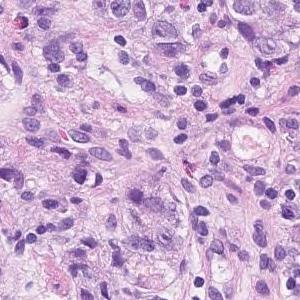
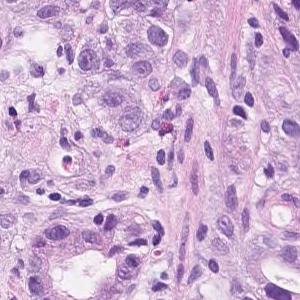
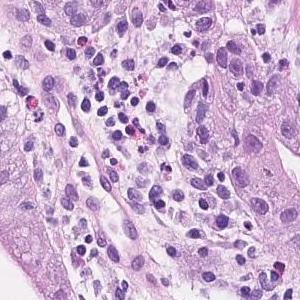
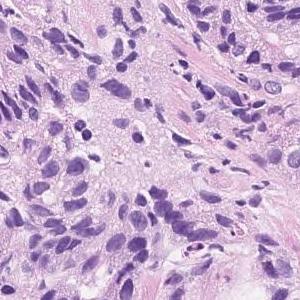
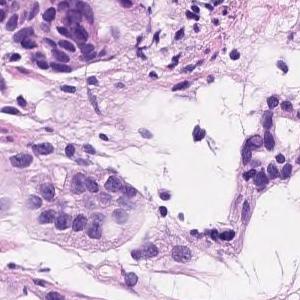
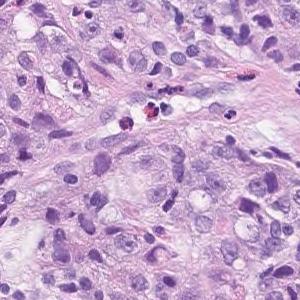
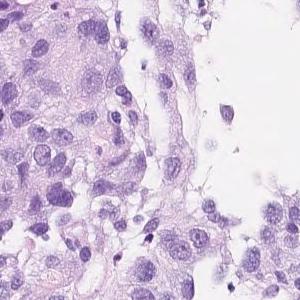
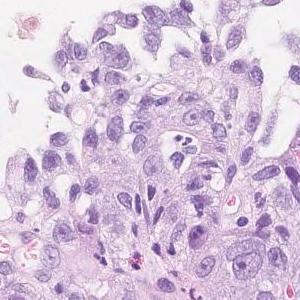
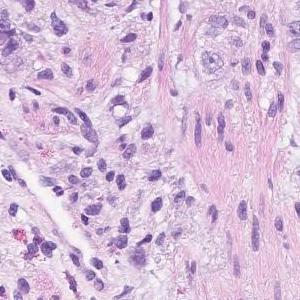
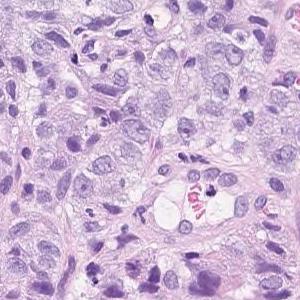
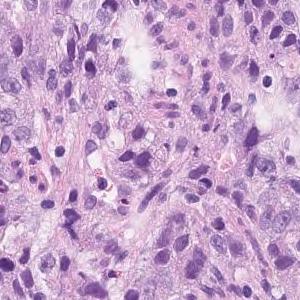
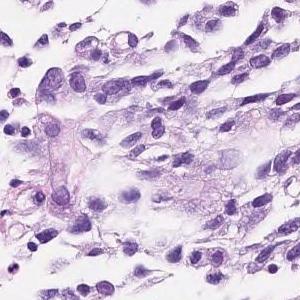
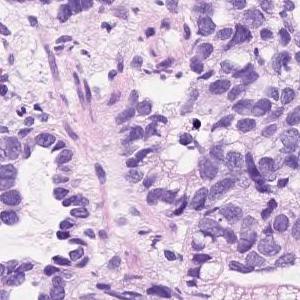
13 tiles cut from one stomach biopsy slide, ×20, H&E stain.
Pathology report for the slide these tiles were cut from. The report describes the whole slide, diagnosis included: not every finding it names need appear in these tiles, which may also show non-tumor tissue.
In the superficial epithelium, tumor tissue that invades by forming medium-sized to small, irregular ducts is observed. Moderately to poorly differentiated adenocarcinoma
